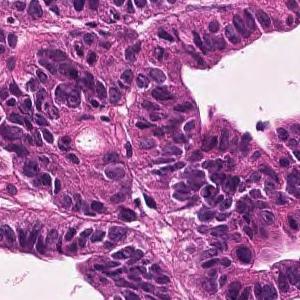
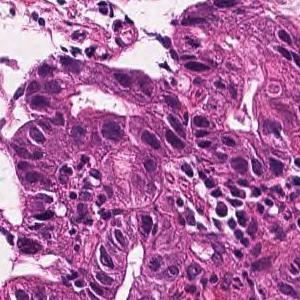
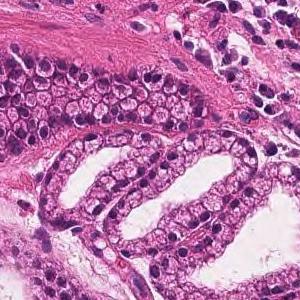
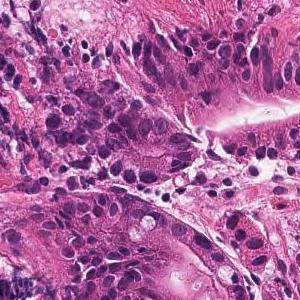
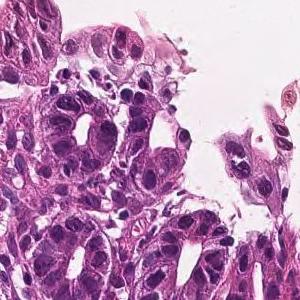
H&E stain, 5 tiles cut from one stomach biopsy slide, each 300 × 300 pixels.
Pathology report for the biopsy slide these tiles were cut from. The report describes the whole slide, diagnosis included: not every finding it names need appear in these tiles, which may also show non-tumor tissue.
In the superficial epithelium, tumor tissue that invades by forming medium-sized to small, irregular ducts is observed. moderately differentiated tubular adenocarcinoma.
